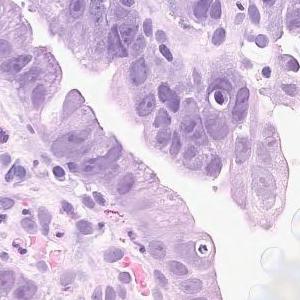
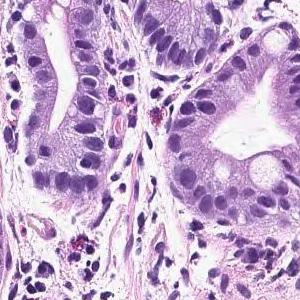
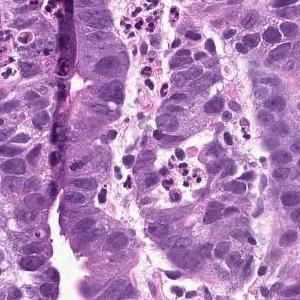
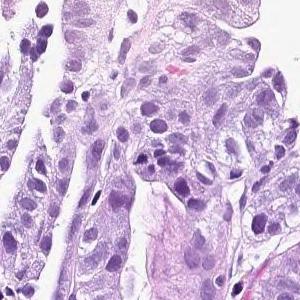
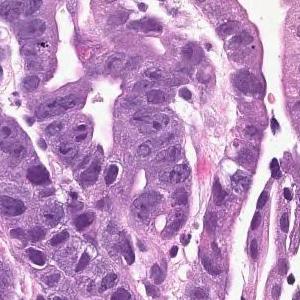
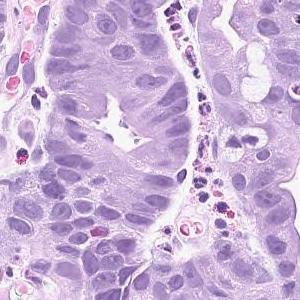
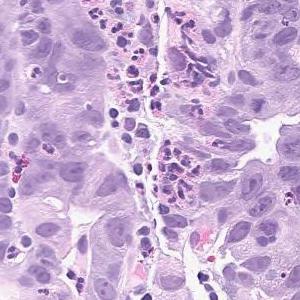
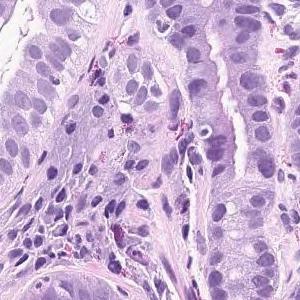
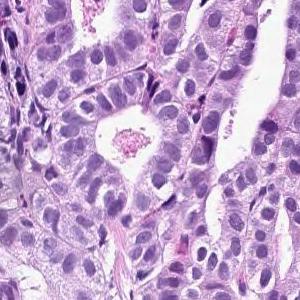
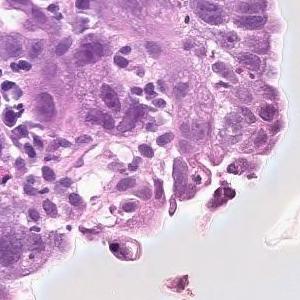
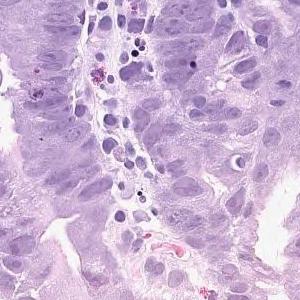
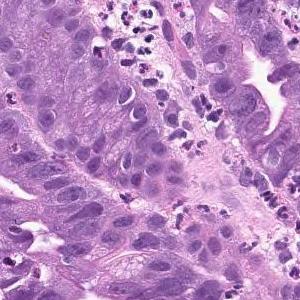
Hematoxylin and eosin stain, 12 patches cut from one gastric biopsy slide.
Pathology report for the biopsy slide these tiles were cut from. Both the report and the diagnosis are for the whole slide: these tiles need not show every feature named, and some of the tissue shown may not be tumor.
Infiltrating tumor tissue is observed in the superficial epithelium, showing large papillary structures or large and small ducts. Papillary adenocarcinoma
